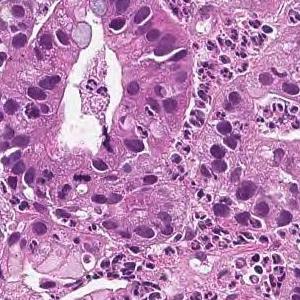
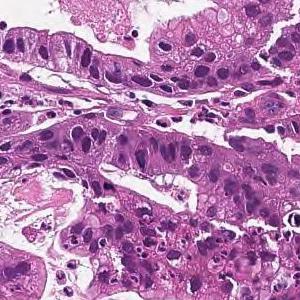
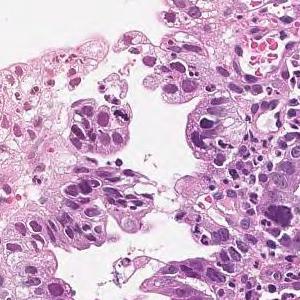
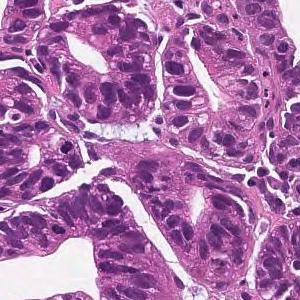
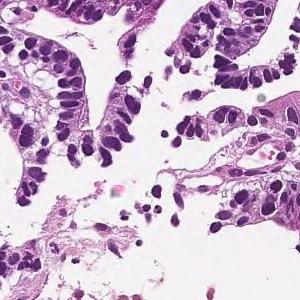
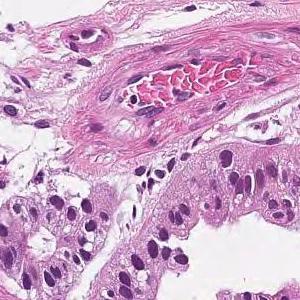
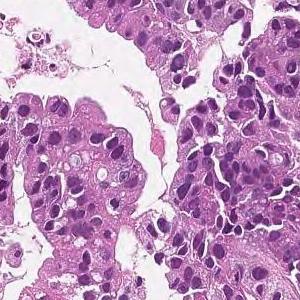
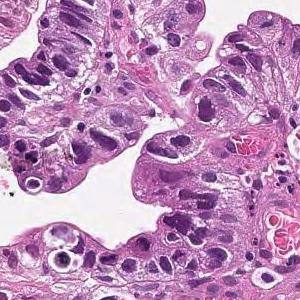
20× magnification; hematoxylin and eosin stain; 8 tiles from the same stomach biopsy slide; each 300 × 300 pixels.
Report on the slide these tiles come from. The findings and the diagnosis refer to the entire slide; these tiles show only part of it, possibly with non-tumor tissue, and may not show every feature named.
On the superficial epithelium, tumor tissue that infiltrates by forming medium-sized papillary or small irregular ducts is observed. Papillary adenocarcinoma
